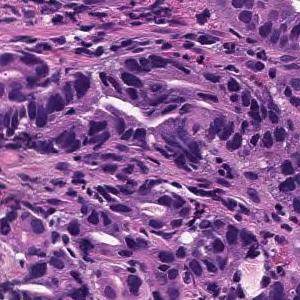
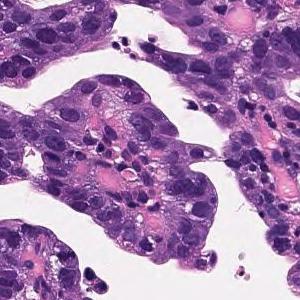
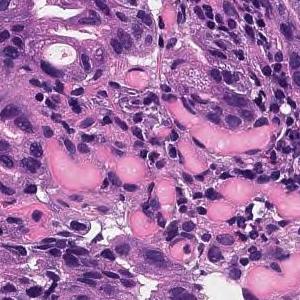
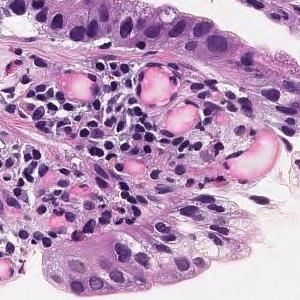
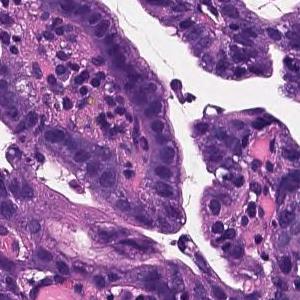
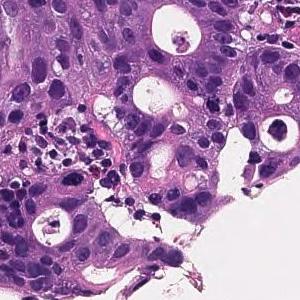
6 patches cut from one gastric biopsy slide; hematoxylin and eosin stain.
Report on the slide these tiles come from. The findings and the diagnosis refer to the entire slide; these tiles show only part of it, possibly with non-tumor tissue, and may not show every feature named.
On the superficial epithelium, tumor tissue consisting of large, irregular glandular ducts partially fused and infiltrated is observed. Well to moderately differentiated tubular adenocarcinoma (well differentiated tubular adenocarcinoma, moderately differentiated tubular adenocarcinoma)
Histological subtype: Well to moderately differentiated tubular adenocarcinoma.
